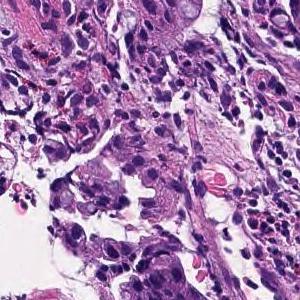
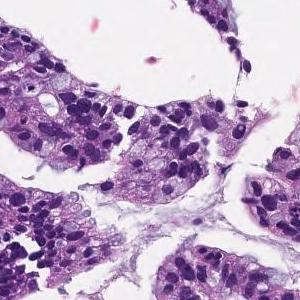
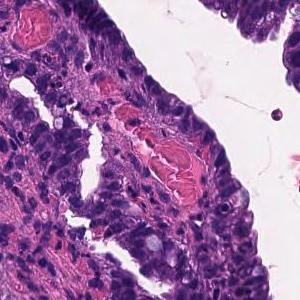
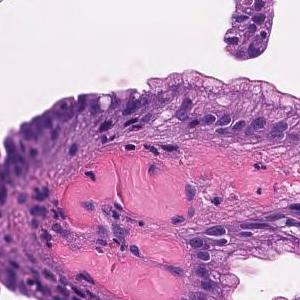
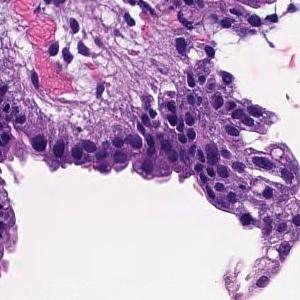
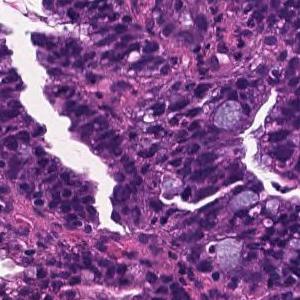
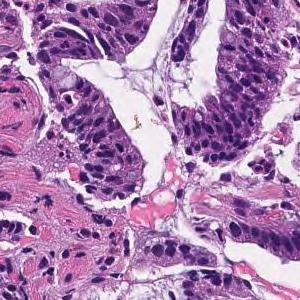
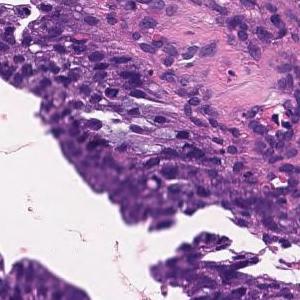
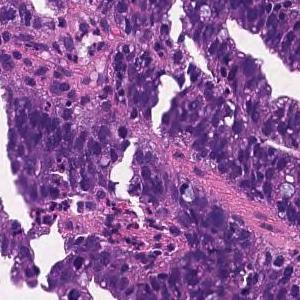
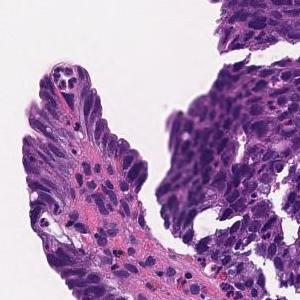
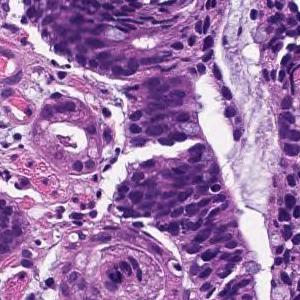
H&E · 20× magnification · 11 tiles cut from one stomach biopsy slide · each 300 × 300 pixels.
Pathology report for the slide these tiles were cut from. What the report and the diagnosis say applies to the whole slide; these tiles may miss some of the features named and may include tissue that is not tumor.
Tumor cells are large, highly columnar, large club-shaped nuclei, and are associated with chromatin aggregation. Papillary adenocarcinoma.
